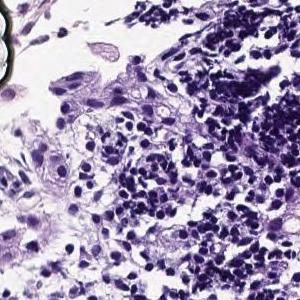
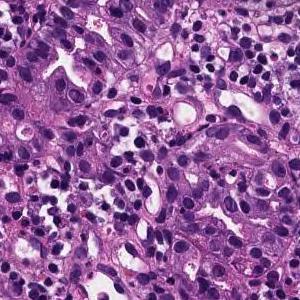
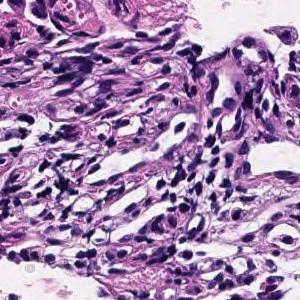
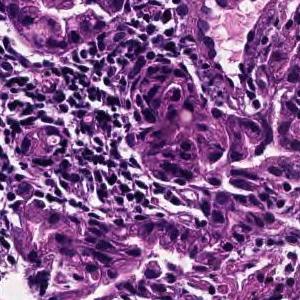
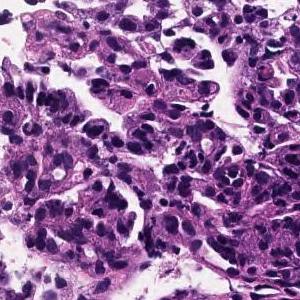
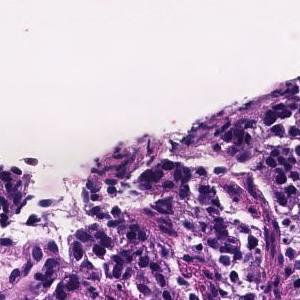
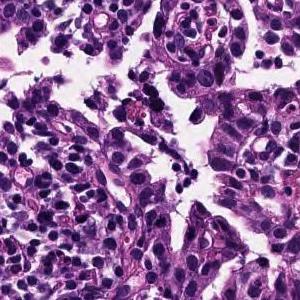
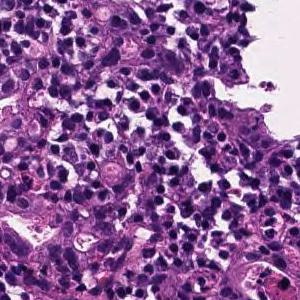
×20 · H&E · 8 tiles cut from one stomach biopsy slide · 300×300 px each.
Diagnostic report for the slide these tiles come from. The report describes the whole slide, diagnosis included: not every finding it names need appear in these tiles, which may also show non-tumor tissue.
Medium to small, irregular glandular ducts are formed in the superficial epithelium, and in some cases, the glandular ducts are fused to show solid alveolar lesions and infiltrating tumor tissue is observed. Moderately to poorly differentiated adenocarcinoma.
